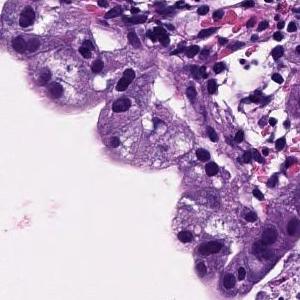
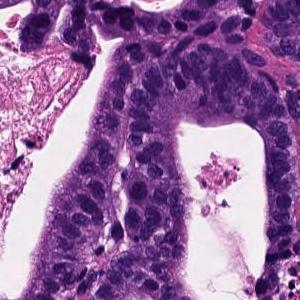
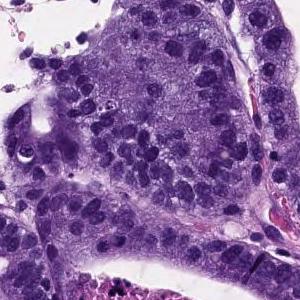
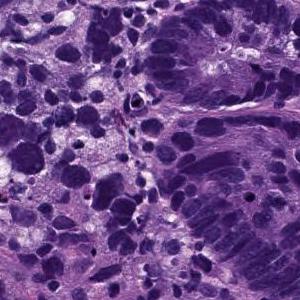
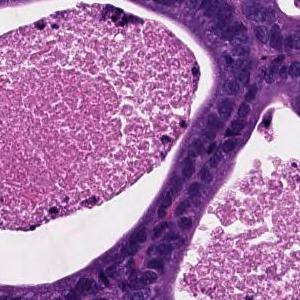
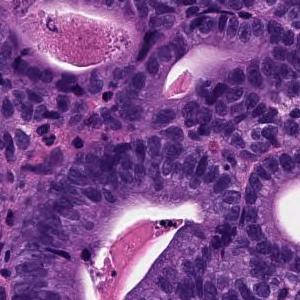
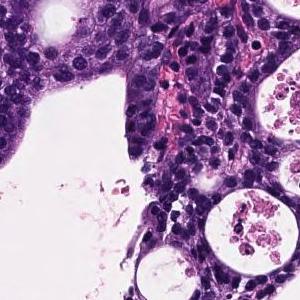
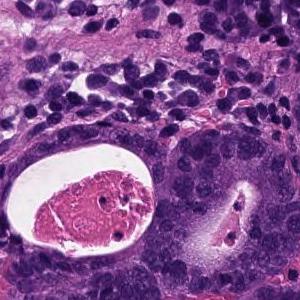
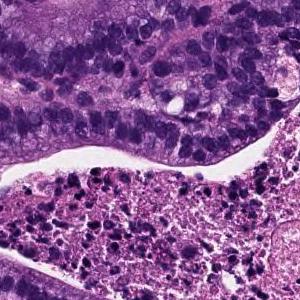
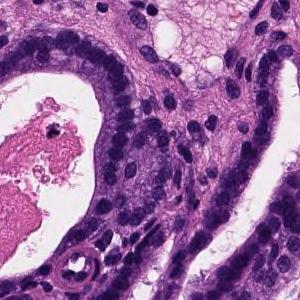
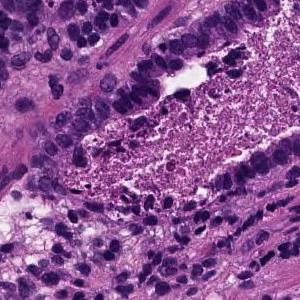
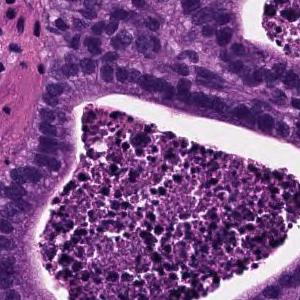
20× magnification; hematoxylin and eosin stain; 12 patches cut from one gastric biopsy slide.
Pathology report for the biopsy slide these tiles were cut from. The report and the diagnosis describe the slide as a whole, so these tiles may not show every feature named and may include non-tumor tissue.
From the superficial epithelium to the muscularis mucosae, tumor tissue consisting of medium-sized and irregular glandular ducts infiltrating is observed. Well differentiated tubular adenocarcinoma
